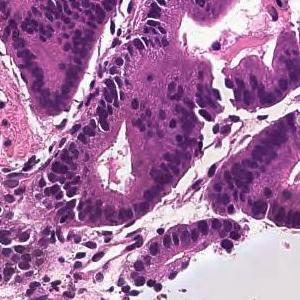
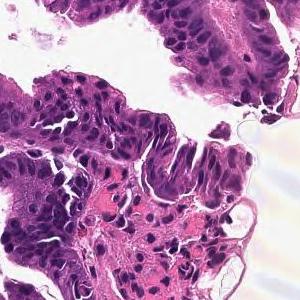
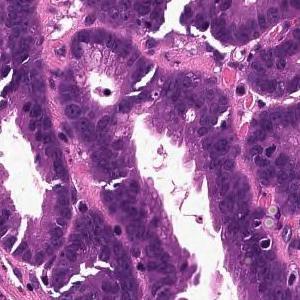
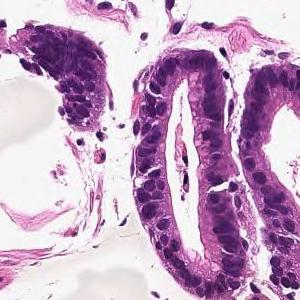
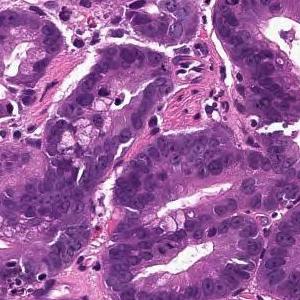
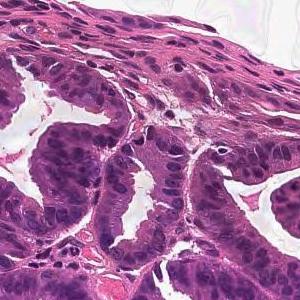
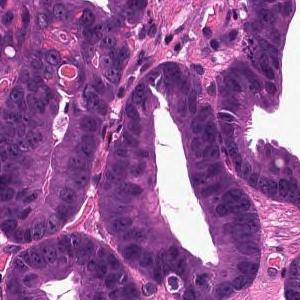
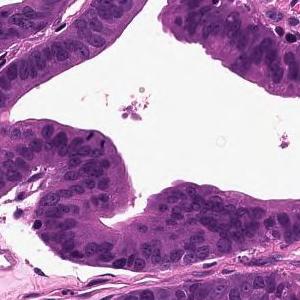
8 tiles from the same stomach biopsy slide; ×20; H&E stain.
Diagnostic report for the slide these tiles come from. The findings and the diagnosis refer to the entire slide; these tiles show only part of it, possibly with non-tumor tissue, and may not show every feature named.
From the superficial epithelium to the muscularis mucosae, tumor tissue consisting of medium-sized and irregular glandular ducts infiltrating is observed. Well differentiated tubular adenocarcinoma
